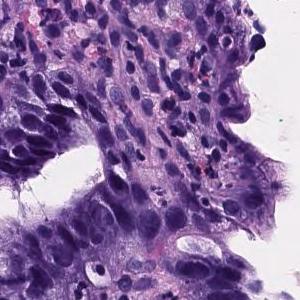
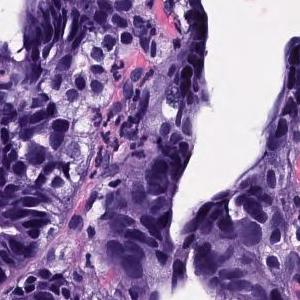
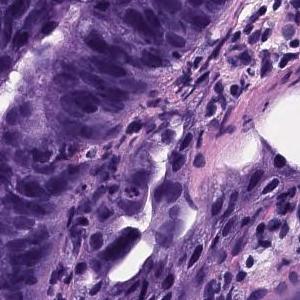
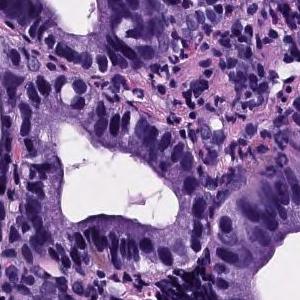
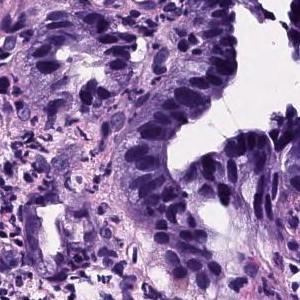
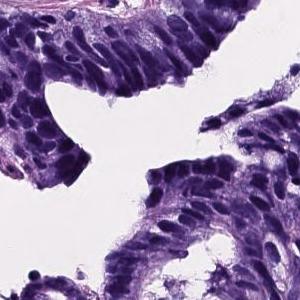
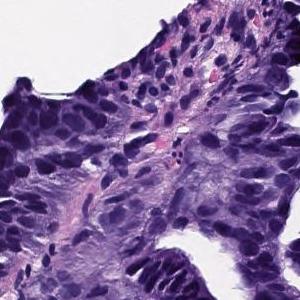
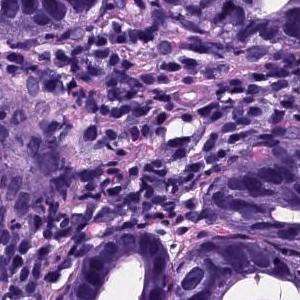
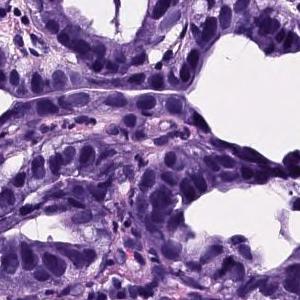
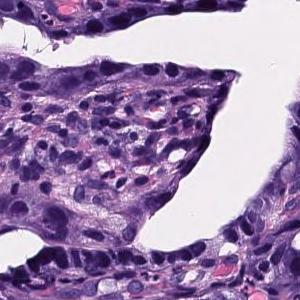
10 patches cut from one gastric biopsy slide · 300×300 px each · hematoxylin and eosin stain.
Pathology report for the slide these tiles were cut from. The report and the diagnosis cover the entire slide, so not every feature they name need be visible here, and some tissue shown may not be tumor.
Large atypical cells which form medium to large ducts are proliferating. Well differentiated adenocarcinoma (well differentiated tubular adenocarcinoma)
Tumor subtype: well differentiated tubular adenocarcinoma.
